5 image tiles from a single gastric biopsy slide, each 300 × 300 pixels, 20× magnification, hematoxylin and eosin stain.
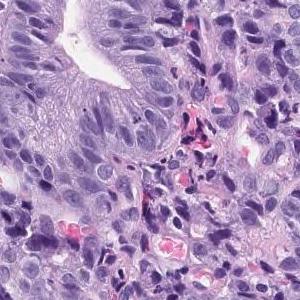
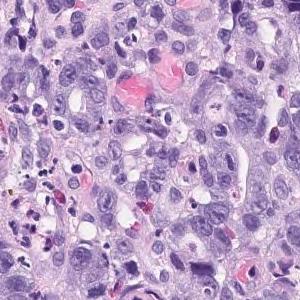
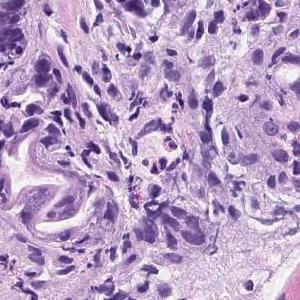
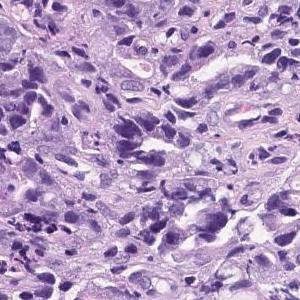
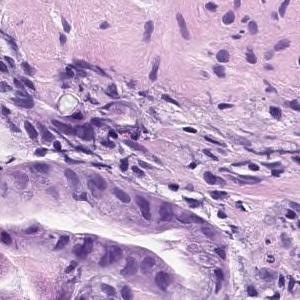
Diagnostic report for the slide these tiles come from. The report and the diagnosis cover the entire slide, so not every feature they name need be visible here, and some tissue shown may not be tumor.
In the superficial epithelium, tumor tissue that invades by forming medium-sized to small, irregular ducts is observed. Moderately differentiated adenocarcinoma.
Histological subtype: Moderately differentiated tubular adenocarcinoma.
